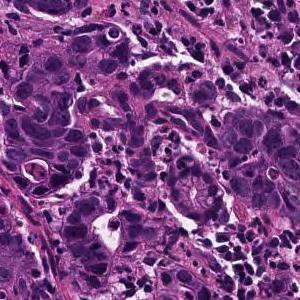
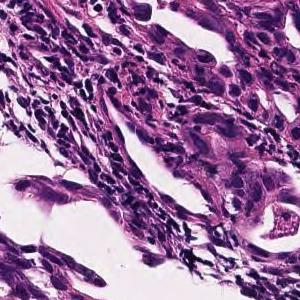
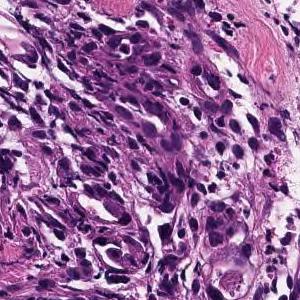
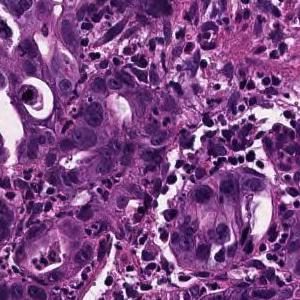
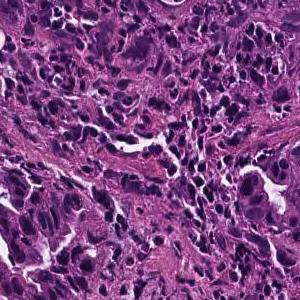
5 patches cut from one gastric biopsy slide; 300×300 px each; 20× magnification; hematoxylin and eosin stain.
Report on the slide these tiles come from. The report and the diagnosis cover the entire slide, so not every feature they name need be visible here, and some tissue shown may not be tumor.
In the superficial epithelium, medium-sized to small irregular glandular ducts are formed, and in some cases, the glandular ducts are fused or small cord-like infiltrating tumor tissue is observed. moderately differentiated tubular adenocarcinoma
